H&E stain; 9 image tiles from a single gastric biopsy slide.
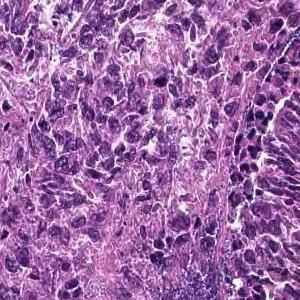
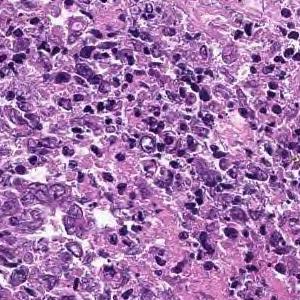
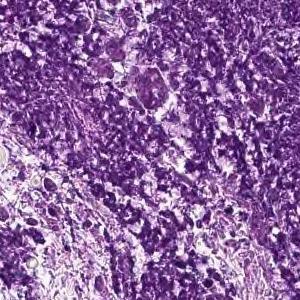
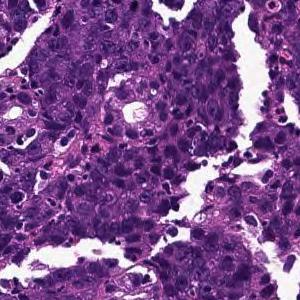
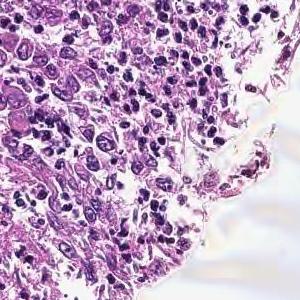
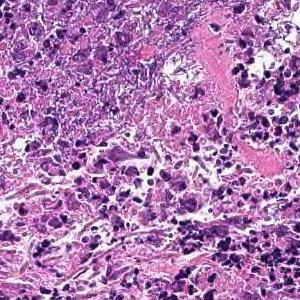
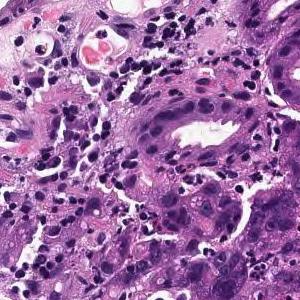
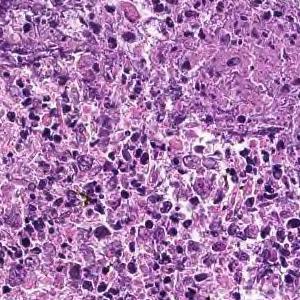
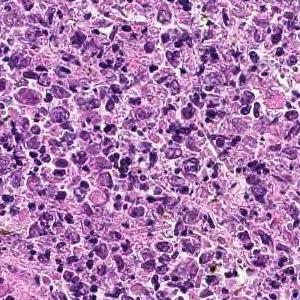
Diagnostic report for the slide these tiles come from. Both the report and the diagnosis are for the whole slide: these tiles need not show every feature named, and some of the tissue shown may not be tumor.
Cancers with polygonal nuclei do not show glandular formation and are densely, in part, cord-like and proliferate. Poorly differentiated adenocarcinoma
Histological subtype: Poorly differentiated adenocarcinoma, non-solid type.
"Non-solid type" is a category of the Japanese Classification of Gastric Carcinoma.
